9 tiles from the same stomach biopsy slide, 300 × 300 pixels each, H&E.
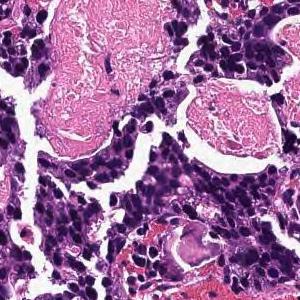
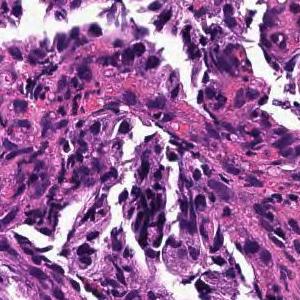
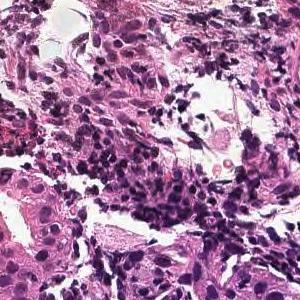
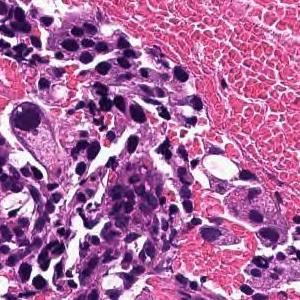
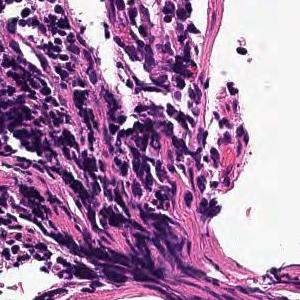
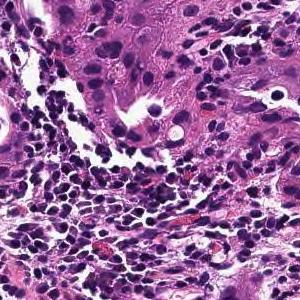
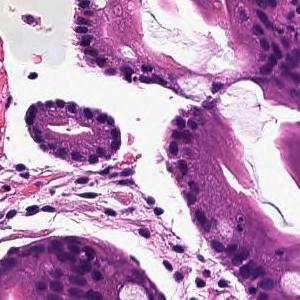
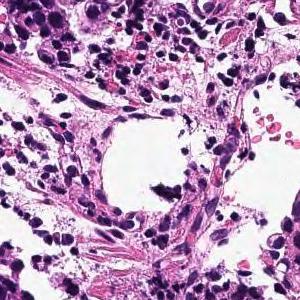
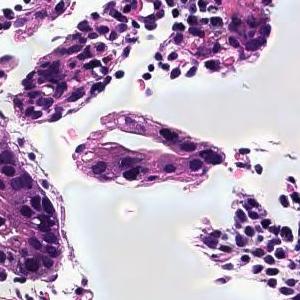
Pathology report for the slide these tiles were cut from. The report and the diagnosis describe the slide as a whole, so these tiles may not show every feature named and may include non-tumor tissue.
In the superficial epithelium, tumor tissue that invades by forming medium-sized to small, irregular ducts is observed. moderately differentiated tubular adenocarcinoma.
